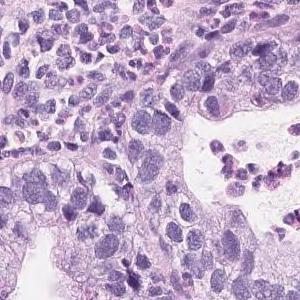
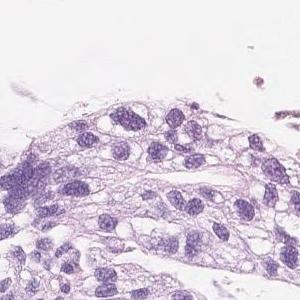
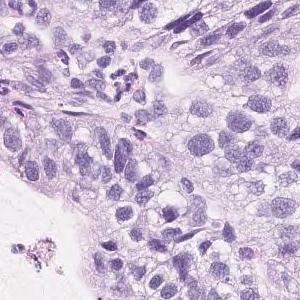
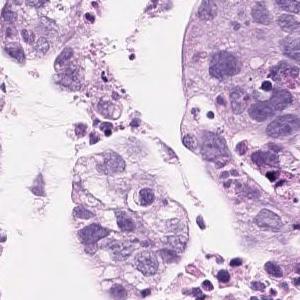
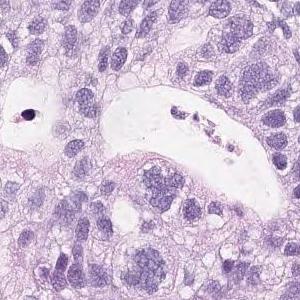
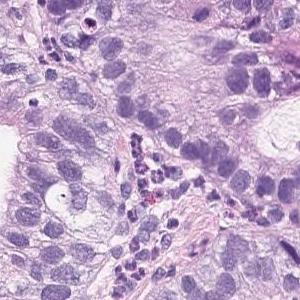
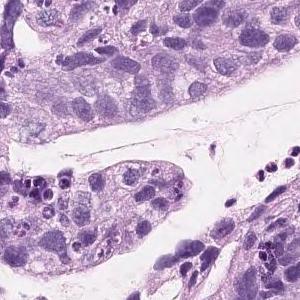
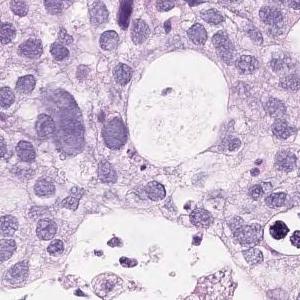
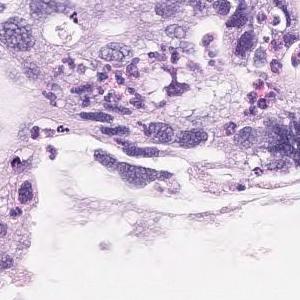
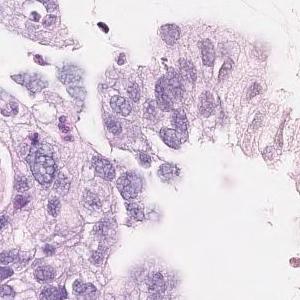
×20; 10 tiles cut from one stomach biopsy slide.
Report on the slide these tiles come from. The report describes the whole slide, diagnosis included: not every finding it names need appear in these tiles, which may also show non-tumor tissue.
On the superficial epithelium, tumor tissue consisting of large, irregular glandular ducts partially fused and infiltrated is observed. Well to moderately differentiated tubular adenocarcinoma (well differentiated tubular adenocarcinoma, moderately differentiated tubular adenocarcinoma)
Histologic type: Well to moderately differentiated tubular adenocarcinoma.
